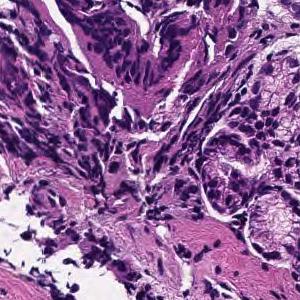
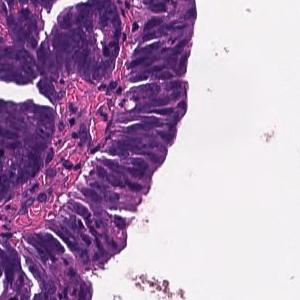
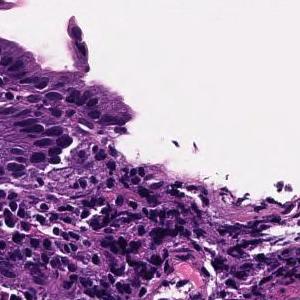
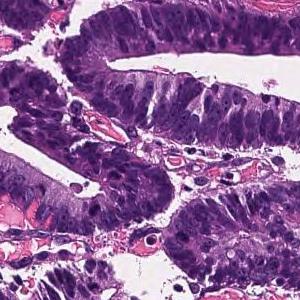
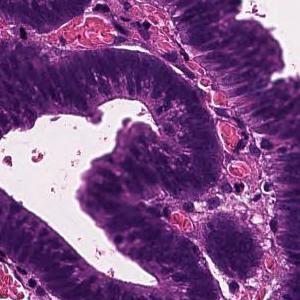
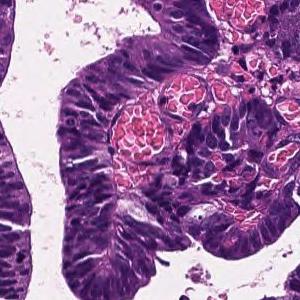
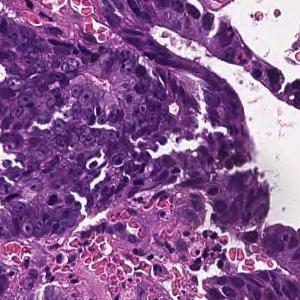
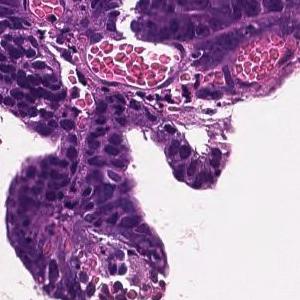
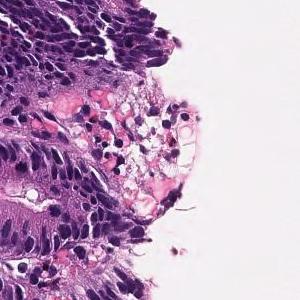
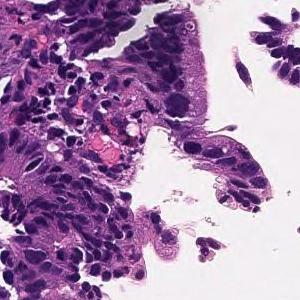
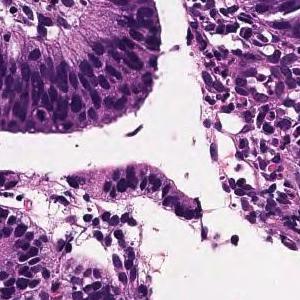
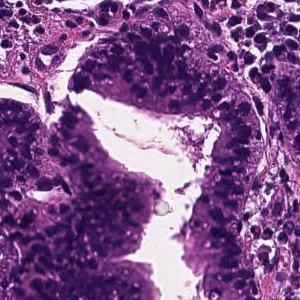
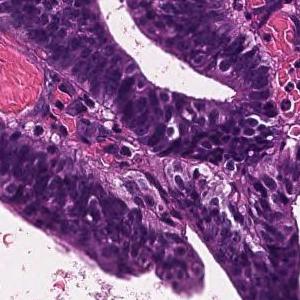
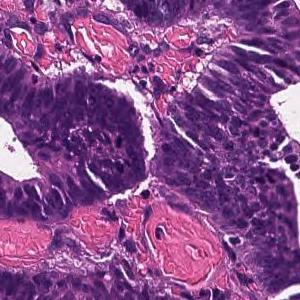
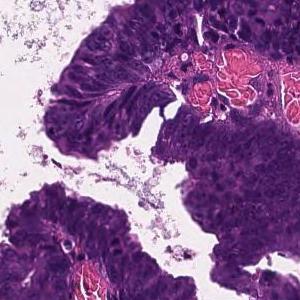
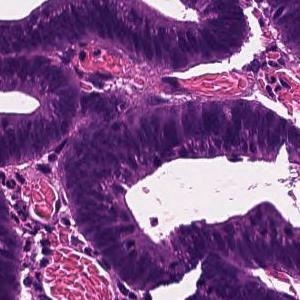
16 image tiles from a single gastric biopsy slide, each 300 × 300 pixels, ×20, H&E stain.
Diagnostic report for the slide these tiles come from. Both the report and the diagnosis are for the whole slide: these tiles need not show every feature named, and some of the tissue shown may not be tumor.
Tumor tissue consisting of large papillary structures is found in the superficial epithelium. Papillary adenocarcinoma.
